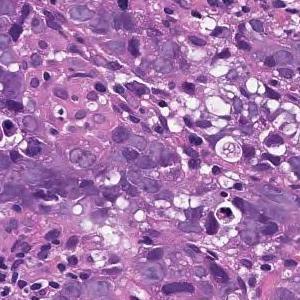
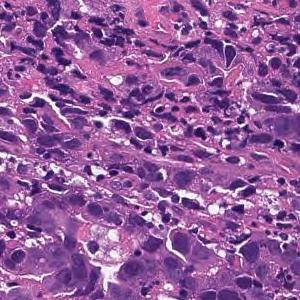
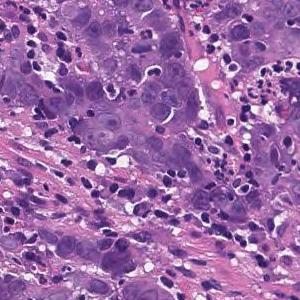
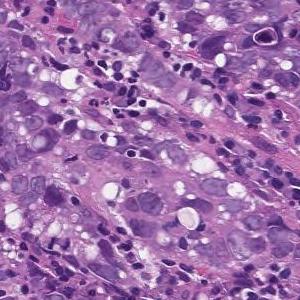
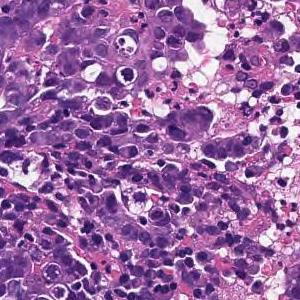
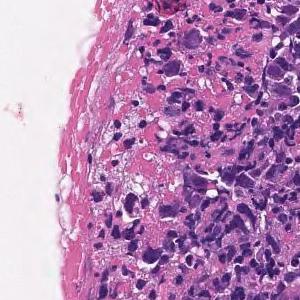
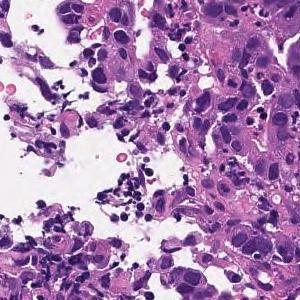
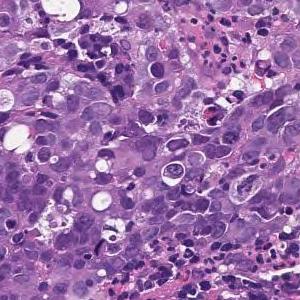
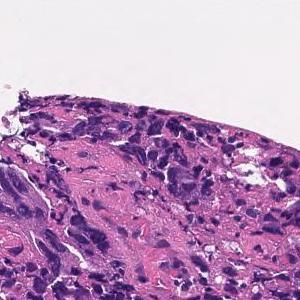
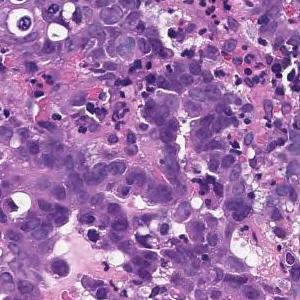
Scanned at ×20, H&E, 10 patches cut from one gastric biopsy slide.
Diagnostic report for the slide these tiles come from. What the report and the diagnosis say applies to the whole slide; these tiles may miss some of the features named and may include tissue that is not tumor.
Tumor tissue consisting of cord-like or small, irregular glandular ducts fused and infiltrated is observed in the superficial epithelium. Poorly differentiated adenocarcinoma, non-solid type
The term "non-solid type" comes from the Japanese Classification of Gastric Carcinoma.
